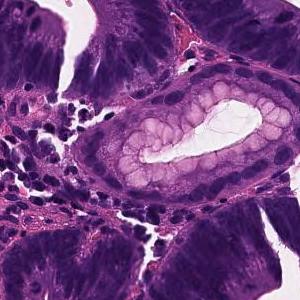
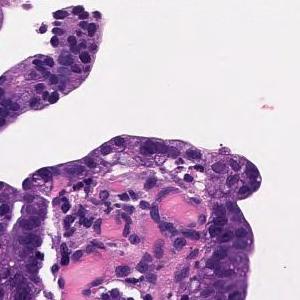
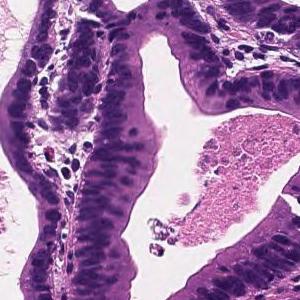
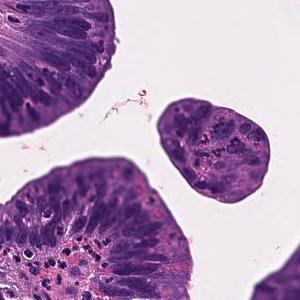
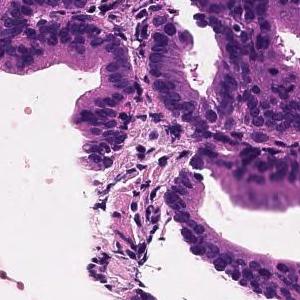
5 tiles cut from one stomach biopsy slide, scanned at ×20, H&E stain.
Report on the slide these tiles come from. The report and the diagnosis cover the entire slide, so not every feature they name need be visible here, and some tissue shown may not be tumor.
Tumor tissue consisting of large papillary structures is found in the superficial epithelium. Papillary adenocarcinoma.
